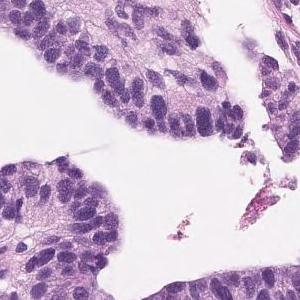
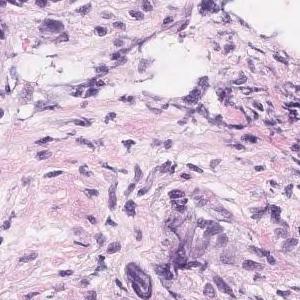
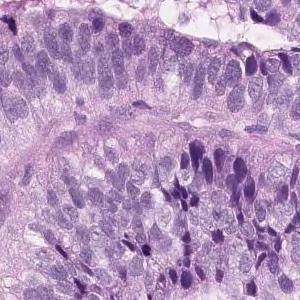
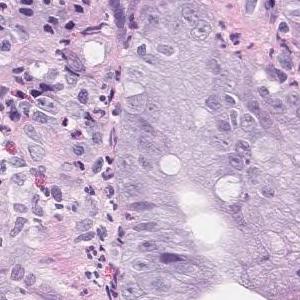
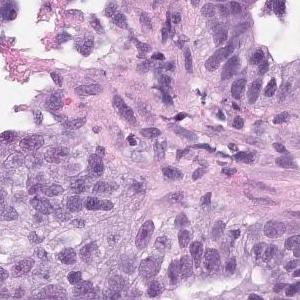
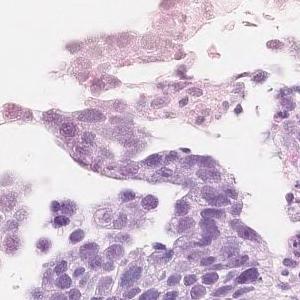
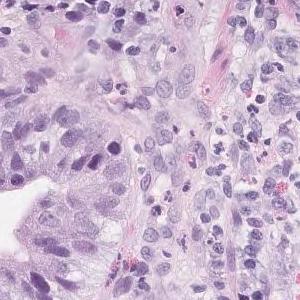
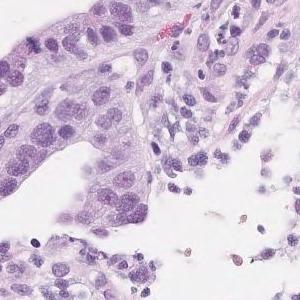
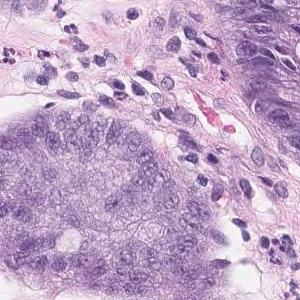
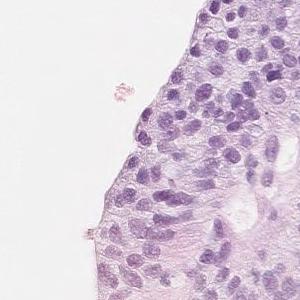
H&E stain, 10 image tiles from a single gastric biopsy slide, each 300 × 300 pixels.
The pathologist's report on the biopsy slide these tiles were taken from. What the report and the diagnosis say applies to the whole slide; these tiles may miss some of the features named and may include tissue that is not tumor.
Tumor tissue in which highly columnar atypical epithelial cells with nuclear enlargement and increased nuclear chromatin show papillary to papillary ductal structure and proliferate is observed. Papillary adenocarcinoma.
